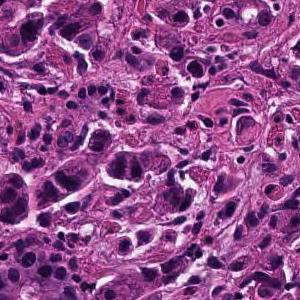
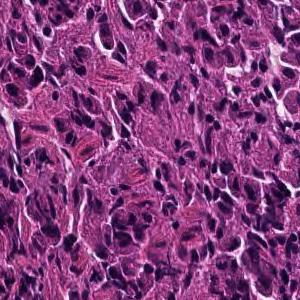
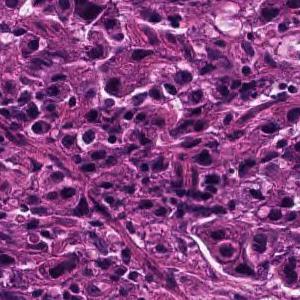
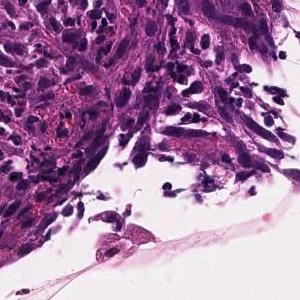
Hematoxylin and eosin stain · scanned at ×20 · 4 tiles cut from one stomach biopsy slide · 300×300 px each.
The pathologist's report on the biopsy slide these tiles were taken from. The report describes the whole slide, diagnosis included: not every finding it names need appear in these tiles, which may also show non-tumor tissue.
Tumor tissue consisting of cord-like or small, irregular glandular ducts fused and infiltrated is observed in the superficial epithelium. Poorly differentiated adenocarcinoma, non-solid type
"Non-solid type" is a category of the Japanese Classification of Gastric Carcinoma.
